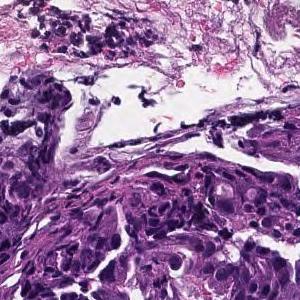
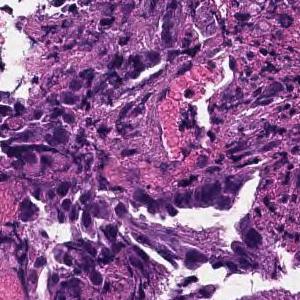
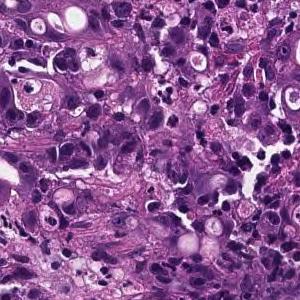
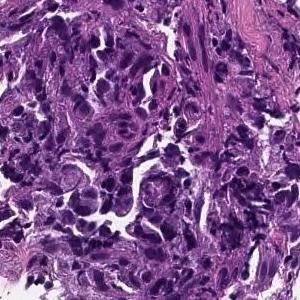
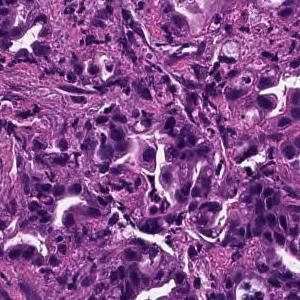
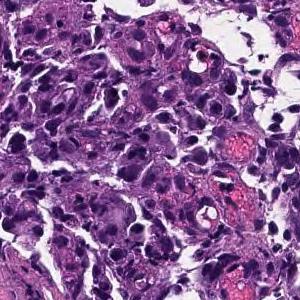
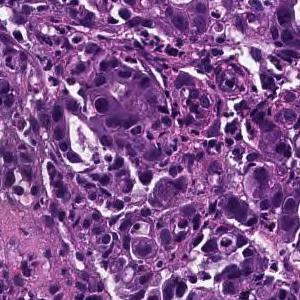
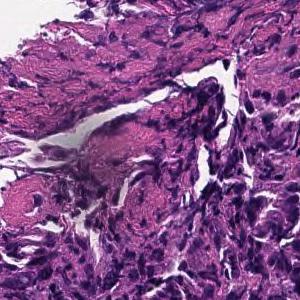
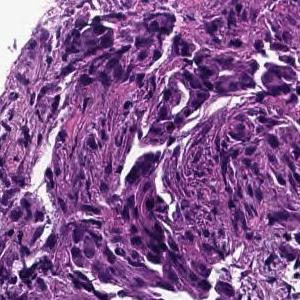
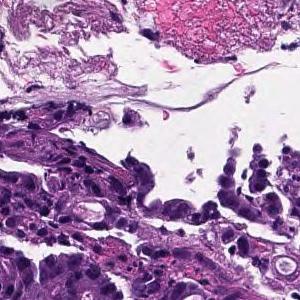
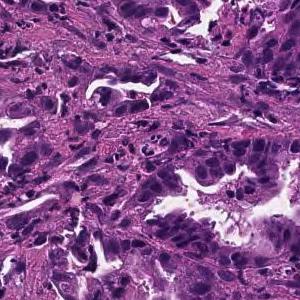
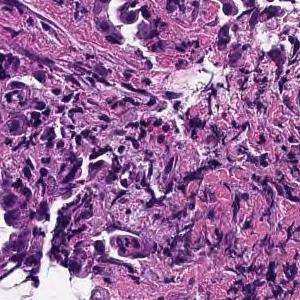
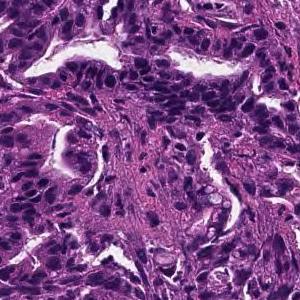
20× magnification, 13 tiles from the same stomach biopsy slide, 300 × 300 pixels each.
Diagnostic report for the slide these tiles come from. The report describes the whole slide, diagnosis included: not every finding it names need appear in these tiles, which may also show non-tumor tissue.
Tumor tissue consisting of medium-sized, cord-like or irregular glandular infiltration is observed in the superficial epithelium. Poorly differentiated adenocarcinoma, non-solid type or moderately differentiated tubular adenocarcinoma
Classified as moderately to poorly differentiated adenocarcinoma.
"Non-solid type" is a category of the Japanese Classification of Gastric Carcinoma.
